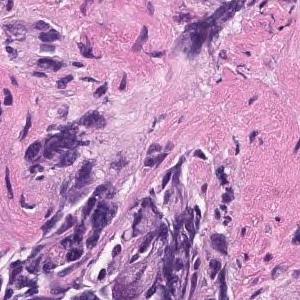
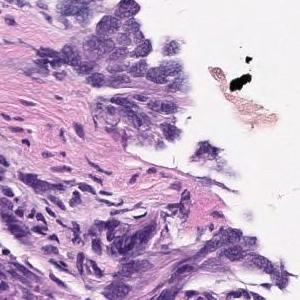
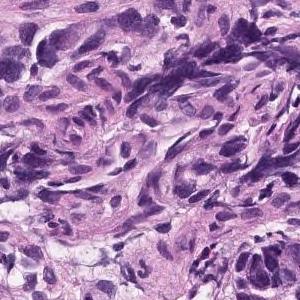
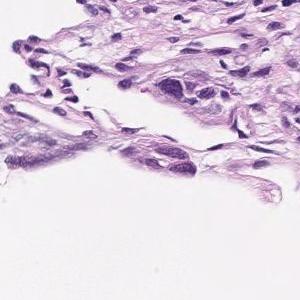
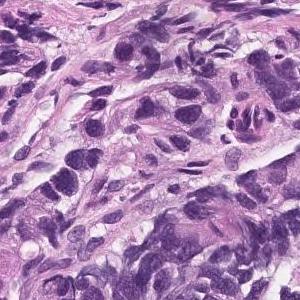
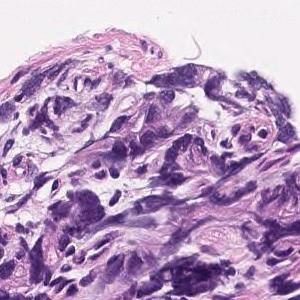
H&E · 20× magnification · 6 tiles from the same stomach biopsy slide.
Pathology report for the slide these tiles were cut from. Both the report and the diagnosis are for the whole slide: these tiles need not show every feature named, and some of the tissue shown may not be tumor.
Atypical l cells with atypical nuclei under the mucosa growing in isolation and scattered. Moderately to poorly differentiated adenocarcinoma (moderately differentiated tubular adenocarcinoma poorly differentiated adenocarcinoma, solid type)
Tumor subtype: moderately to poorly differentiated adenocarcinoma.
The solid type named here is a Japanese Classification of Gastric Carcinoma category; WHO 2019 calls it tubular adenocarcinoma, poorly differentiated.
